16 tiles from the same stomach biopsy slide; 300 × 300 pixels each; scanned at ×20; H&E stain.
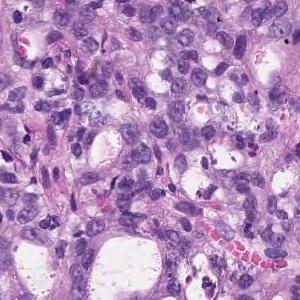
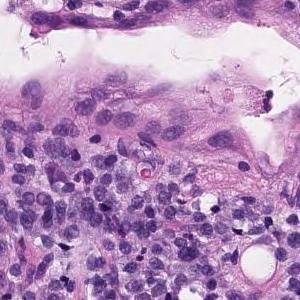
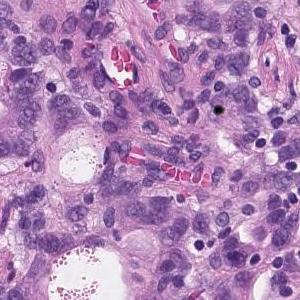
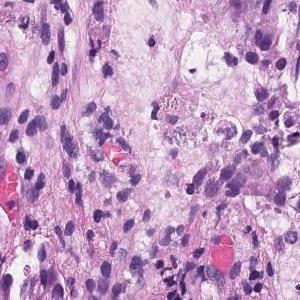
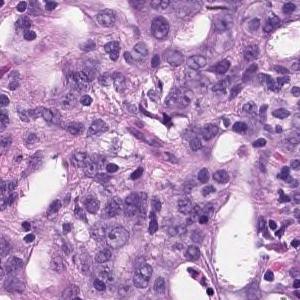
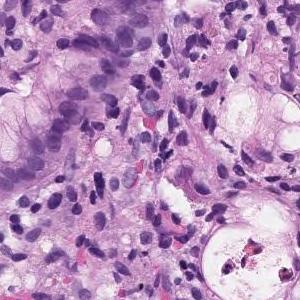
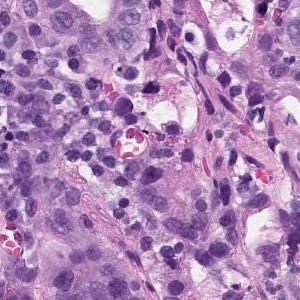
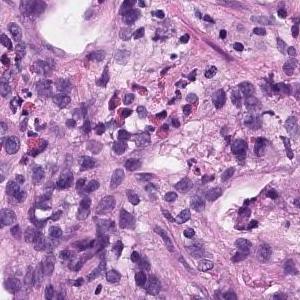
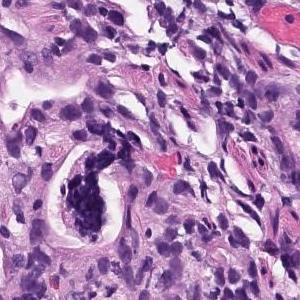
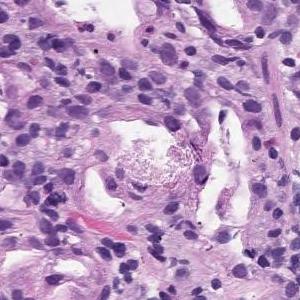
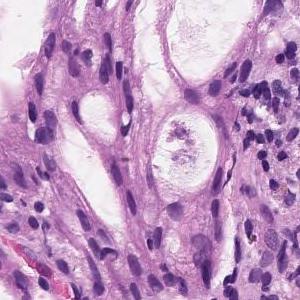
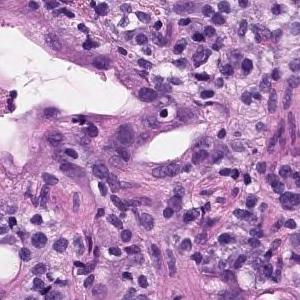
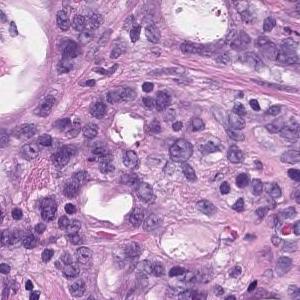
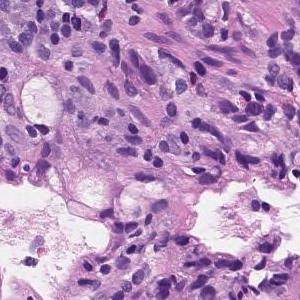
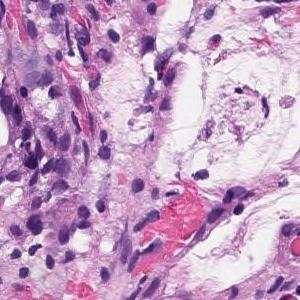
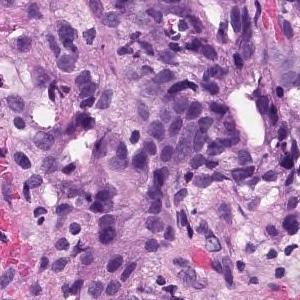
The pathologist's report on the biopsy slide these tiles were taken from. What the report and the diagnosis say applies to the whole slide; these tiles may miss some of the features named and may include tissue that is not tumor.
In the superficial epithelium, tumor tissue that invades by forming medium-sized to small, irregular ducts is observed. Moderately differentiated adenocarcinoma.
Subtype: Moderately differentiated tubular adenocarcinoma.
